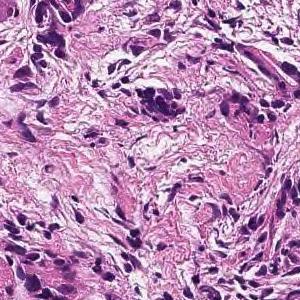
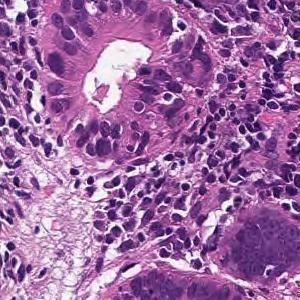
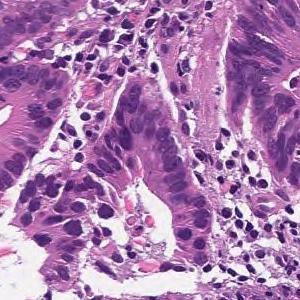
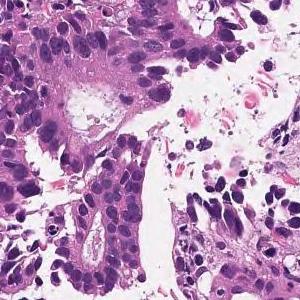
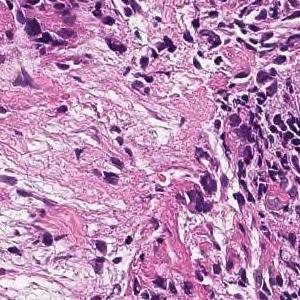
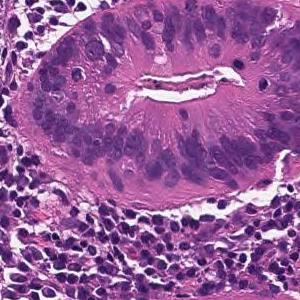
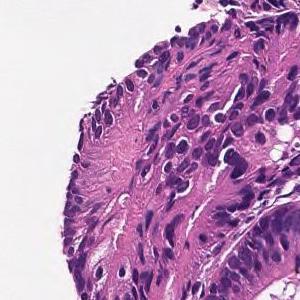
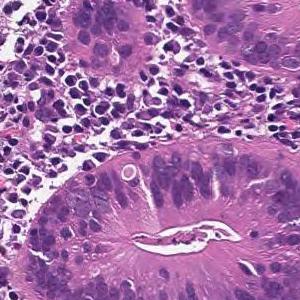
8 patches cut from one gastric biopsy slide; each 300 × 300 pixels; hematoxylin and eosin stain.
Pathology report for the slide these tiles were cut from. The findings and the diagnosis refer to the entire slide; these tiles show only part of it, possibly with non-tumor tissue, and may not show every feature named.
From the superficial epithelium to the muscularis mucosae, tumor tissue consisting of medium-sized and irregular glandular ducts infiltrating is observed. Well differentiated tubular adenocarcinoma
